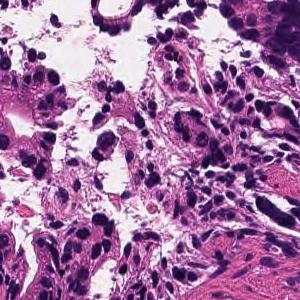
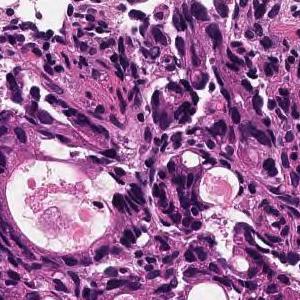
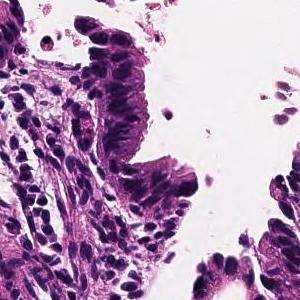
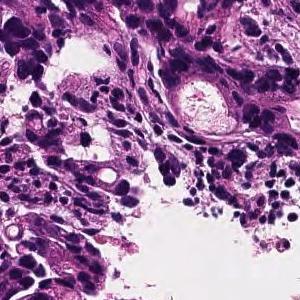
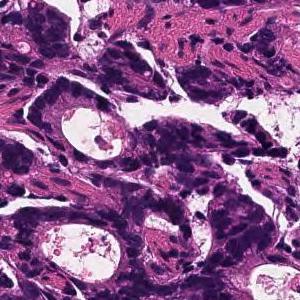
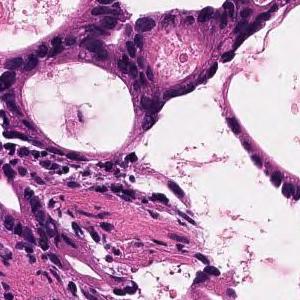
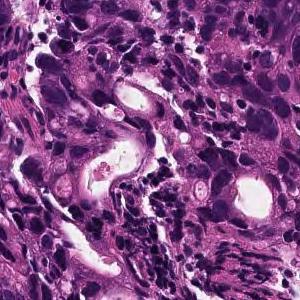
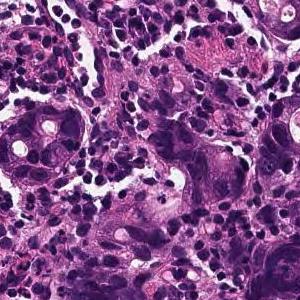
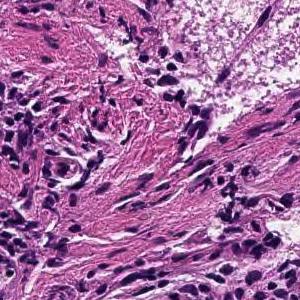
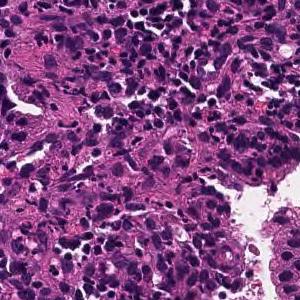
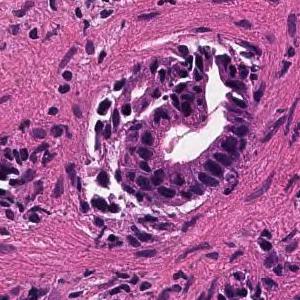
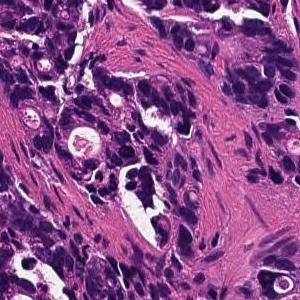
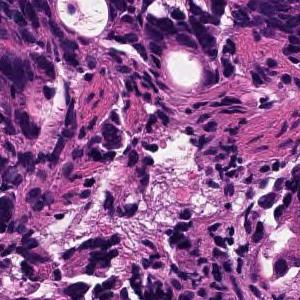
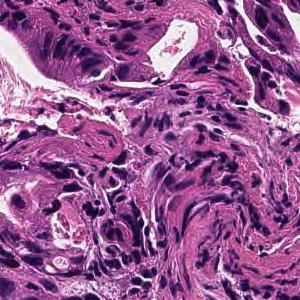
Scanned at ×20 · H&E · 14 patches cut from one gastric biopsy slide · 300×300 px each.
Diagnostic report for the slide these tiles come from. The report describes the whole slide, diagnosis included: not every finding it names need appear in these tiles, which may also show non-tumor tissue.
In the superficial epithelium, tumor tissue that invades by forming medium-sized to small, irregular ducts is observed. moderately differentiated tubular adenocarcinoma.
